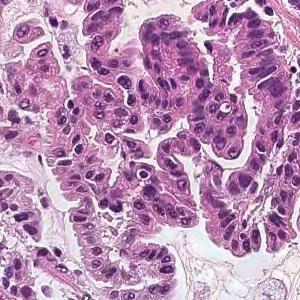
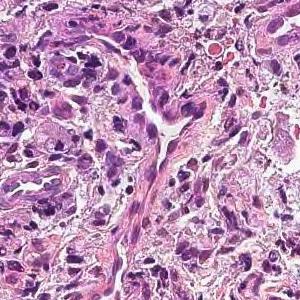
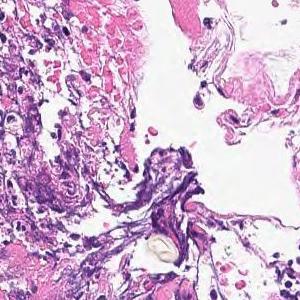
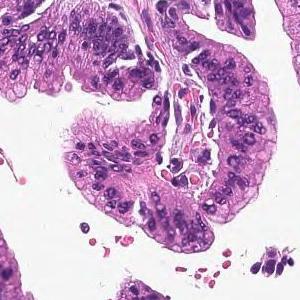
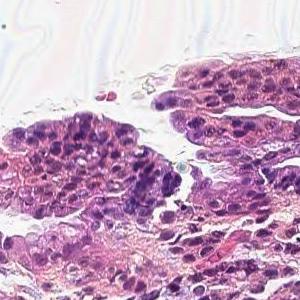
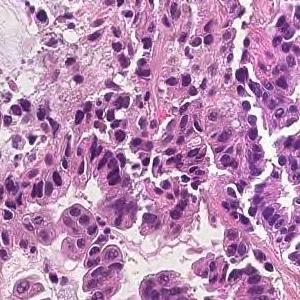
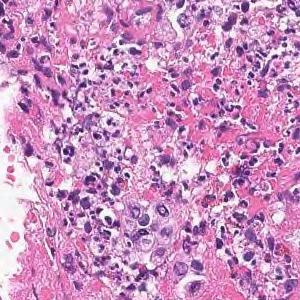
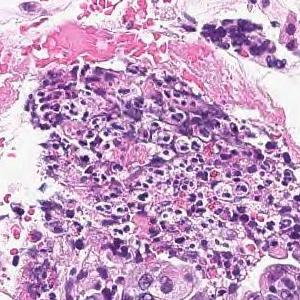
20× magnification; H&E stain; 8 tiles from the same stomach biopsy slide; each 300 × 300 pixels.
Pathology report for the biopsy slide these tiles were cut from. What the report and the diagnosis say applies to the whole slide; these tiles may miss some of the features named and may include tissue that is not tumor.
Tumor tissue consisting of medium-sized, cord-like or irregular glandular infiltration is observed in the superficial epithelium. Poorly differentiated adenocarcinoma, non-solid type or moderately differentiated tubular adenocarcinoma
Tumor subtype: moderately to poorly differentiated adenocarcinoma.
The non-solid type named here is a Japanese Classification of Gastric Carcinoma category.
